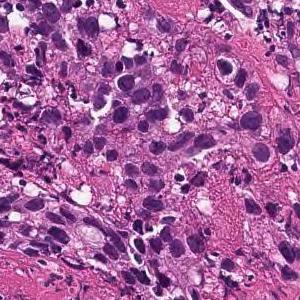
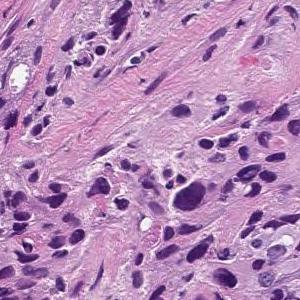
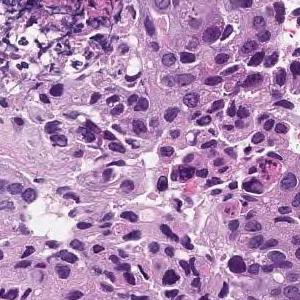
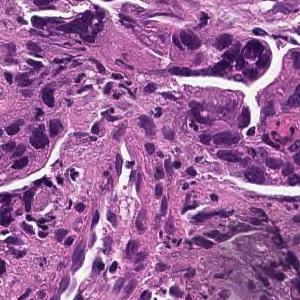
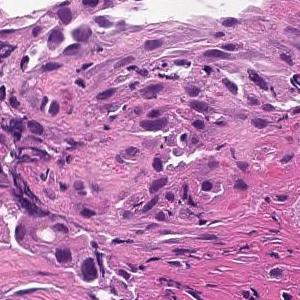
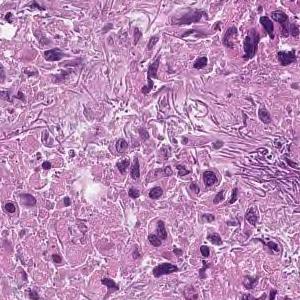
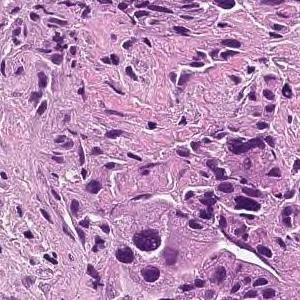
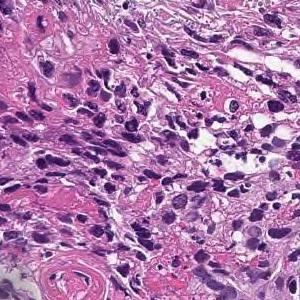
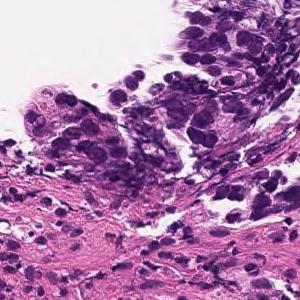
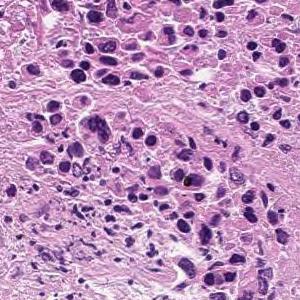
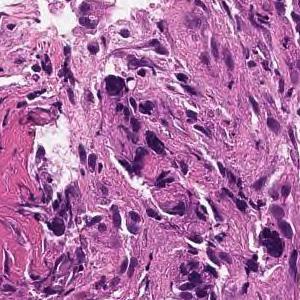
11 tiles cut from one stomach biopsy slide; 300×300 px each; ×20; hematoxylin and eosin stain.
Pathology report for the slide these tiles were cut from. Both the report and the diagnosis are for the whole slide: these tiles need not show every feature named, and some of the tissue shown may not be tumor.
Tumor tissue consisting of cord-like or small, irregular glandular ducts fused and infiltrated is observed in the superficial epithelium. Poorly differentiated adenocarcinoma, non-solid type
"Non-solid type" is a category of the Japanese Classification of Gastric Carcinoma.
